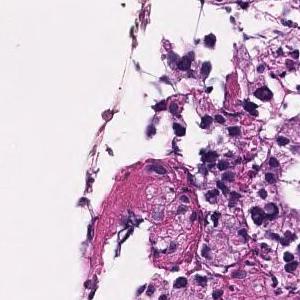
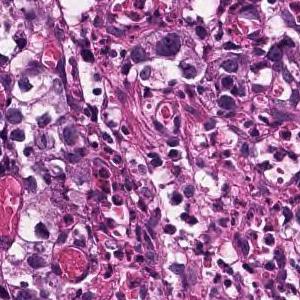
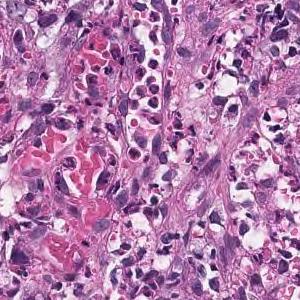
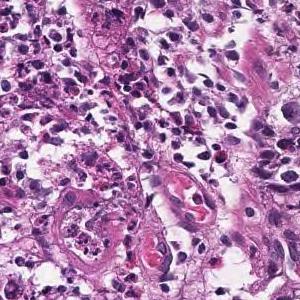
20× magnification · 4 tiles cut from one stomach biopsy slide · 300×300 px each.
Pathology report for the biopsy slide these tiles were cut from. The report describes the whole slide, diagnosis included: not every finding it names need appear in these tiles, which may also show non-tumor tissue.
Tumor tissue consisting of medium-sized, cord-like or irregular glandular infiltration is observed in the superficial epithelium. Poorly differentiated adenocarcinoma, non-solid type or moderately differentiated tubular adenocarcinoma
The term "non-solid type" comes from the Japanese Classification of Gastric Carcinoma.
